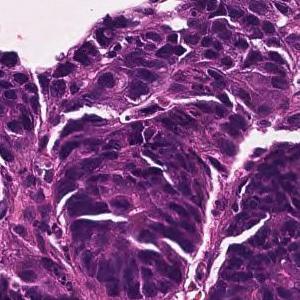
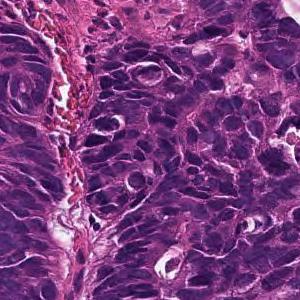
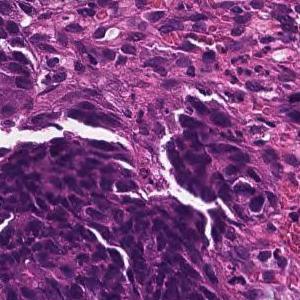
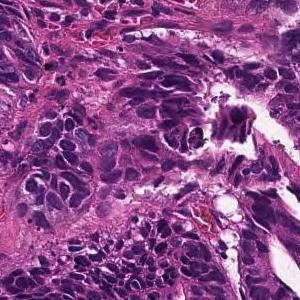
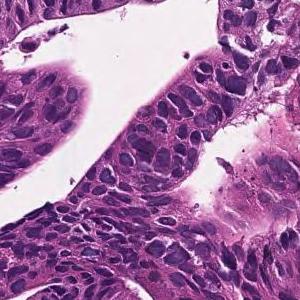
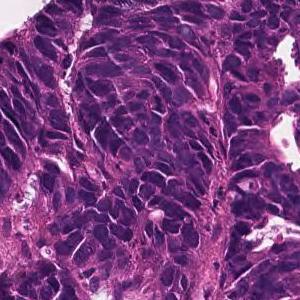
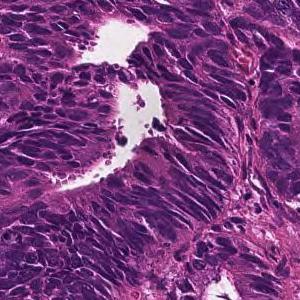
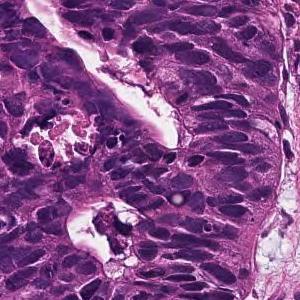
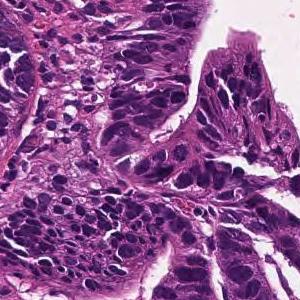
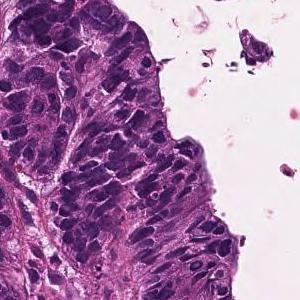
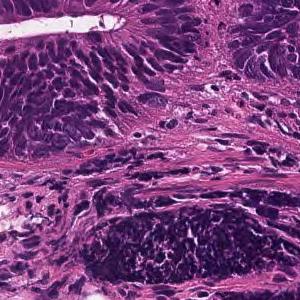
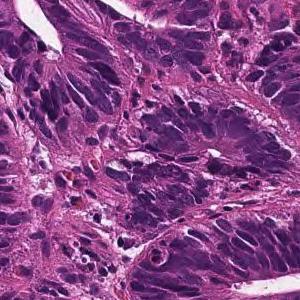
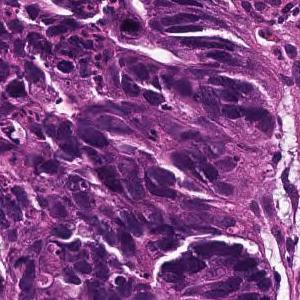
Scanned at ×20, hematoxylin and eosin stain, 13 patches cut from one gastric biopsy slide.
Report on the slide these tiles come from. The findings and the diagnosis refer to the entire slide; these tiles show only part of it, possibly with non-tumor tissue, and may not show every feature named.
In the superficial epithelium, tumor tissue that invades by forming medium-sized to small, irregular ducts is observed. moderately differentiated tubular adenocarcinoma.
